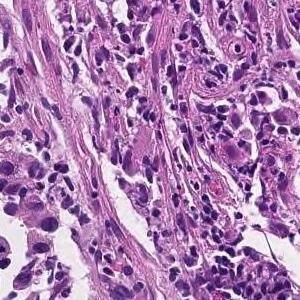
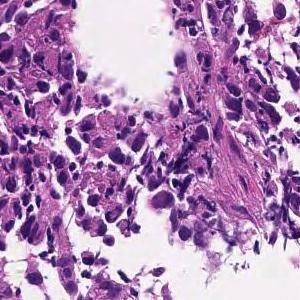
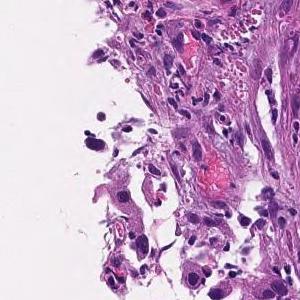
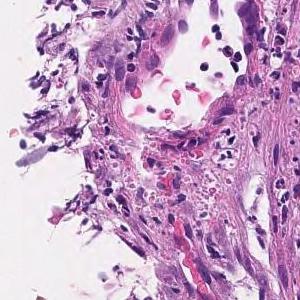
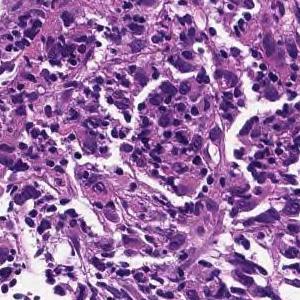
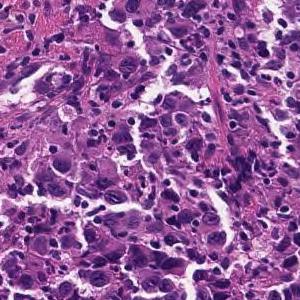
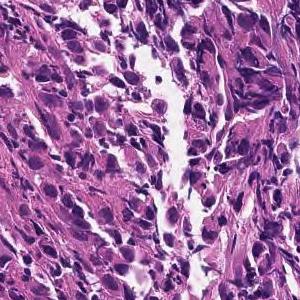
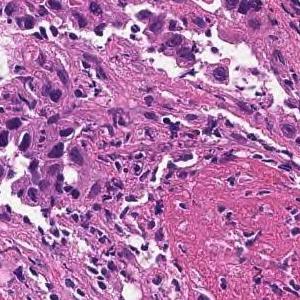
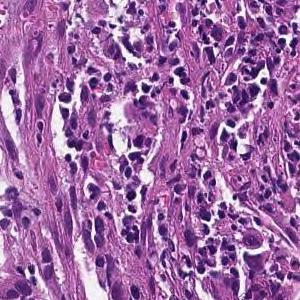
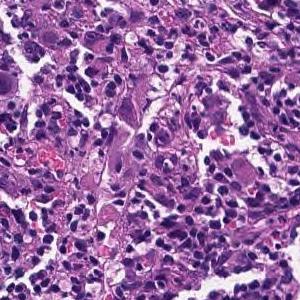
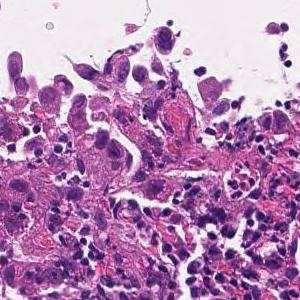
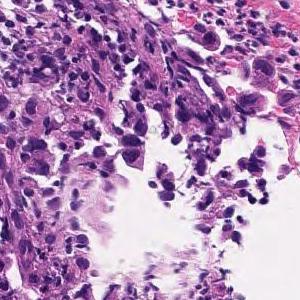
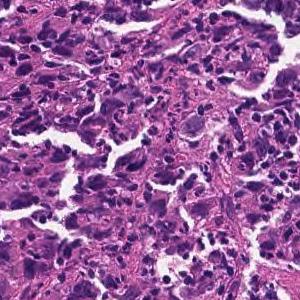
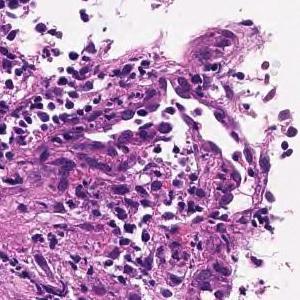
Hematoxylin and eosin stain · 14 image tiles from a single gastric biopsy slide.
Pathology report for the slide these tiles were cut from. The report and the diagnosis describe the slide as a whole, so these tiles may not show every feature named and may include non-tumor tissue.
The superficial epithelium shows a large sheet-like shape, and some tumor tissue infiltrates with small irregular ducts. Poorly differentiated adenocarcinoma, solid-type (poorly differentiated adenocarcinoma, solid type)
Histological subtype: Poorly differentiated adenocarcinoma, solid type, a category of the Japanese Classification of Gastric Carcinoma; in the WHO 2019 classification it is tubular adenocarcinoma, poorly differentiated.
